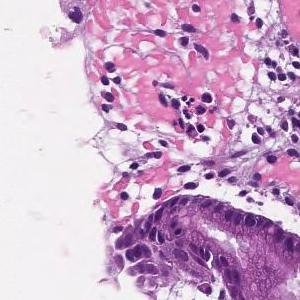
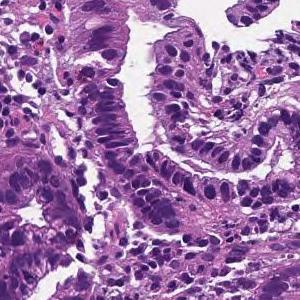
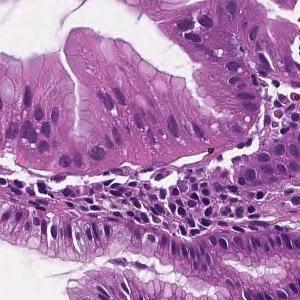
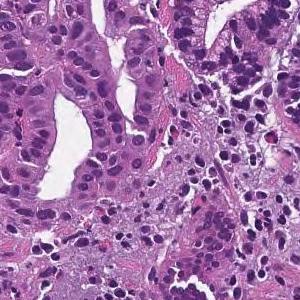
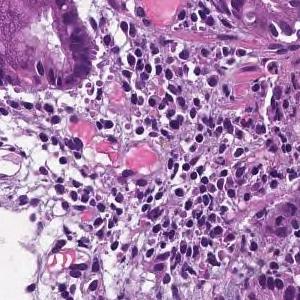
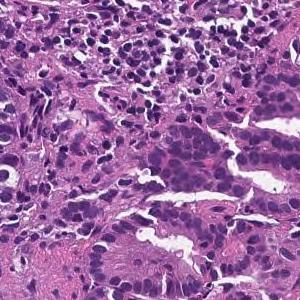
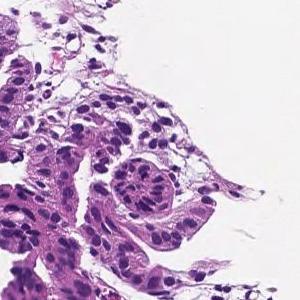
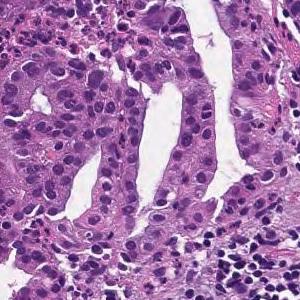
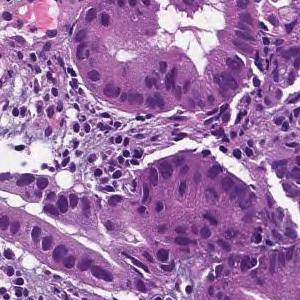
9 patches cut from one gastric biopsy slide; 300×300 px each; 20× magnification; hematoxylin and eosin stain.
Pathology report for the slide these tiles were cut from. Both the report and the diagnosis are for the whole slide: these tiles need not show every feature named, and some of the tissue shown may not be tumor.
From the superficial epithelium to the muscularis mucosae, tumor tissue consisting of medium-sized and irregular glandular ducts infiltrating is observed. Well differentiated tubular adenocarcinoma
